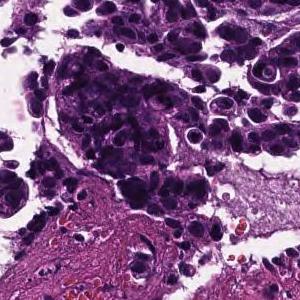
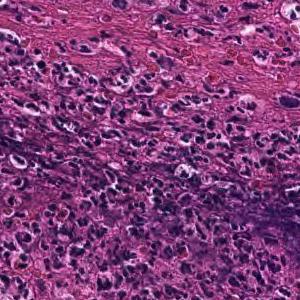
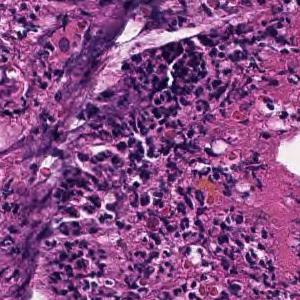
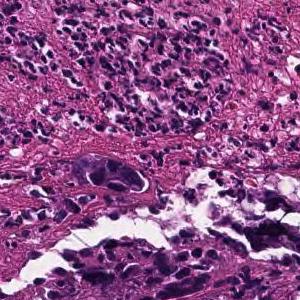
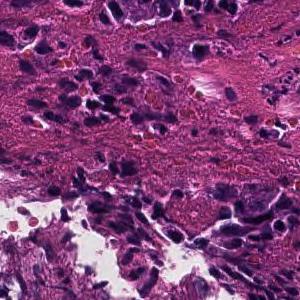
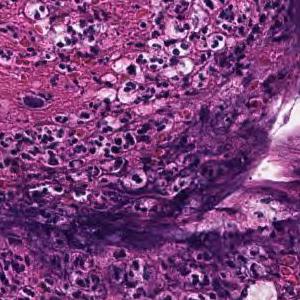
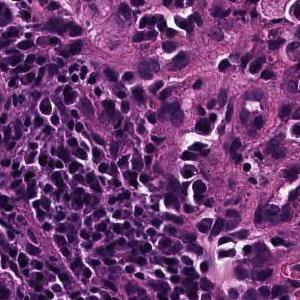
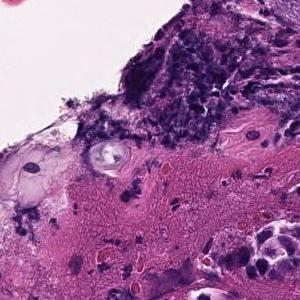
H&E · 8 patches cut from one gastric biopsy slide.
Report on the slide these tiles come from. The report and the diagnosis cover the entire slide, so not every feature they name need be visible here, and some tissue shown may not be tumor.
Tumor tissue consisting of cord-like or small, irregular glandular ducts fused and infiltrated is observed in the superficial epithelium. Poorly differentiated adenocarcinoma, non-solid type
"Non-solid type" is a category of the Japanese Classification of Gastric Carcinoma.
